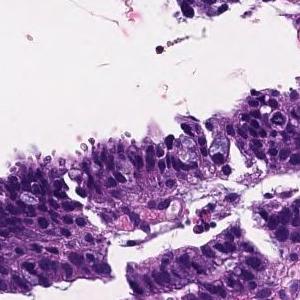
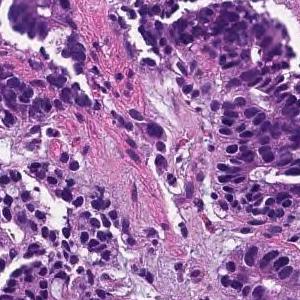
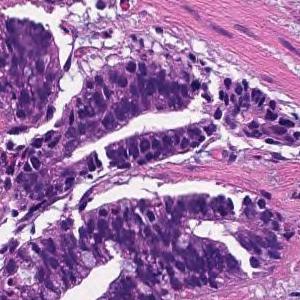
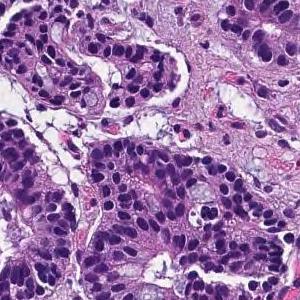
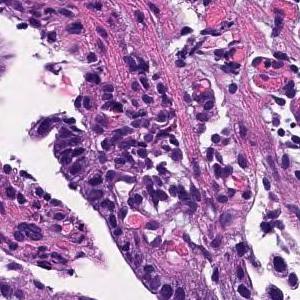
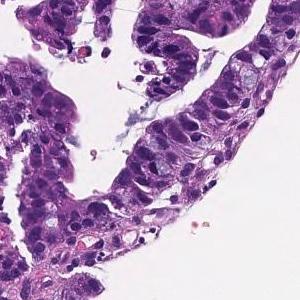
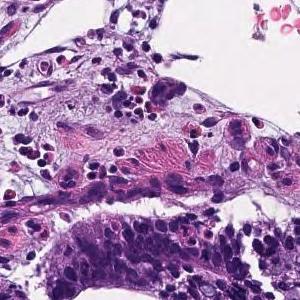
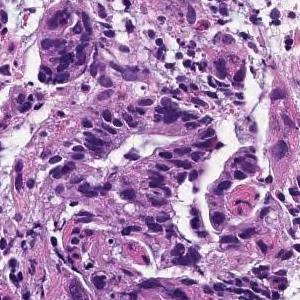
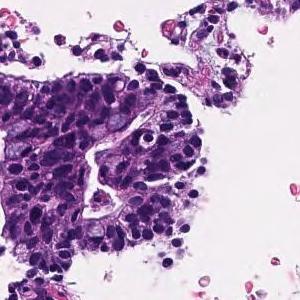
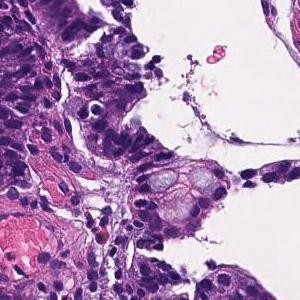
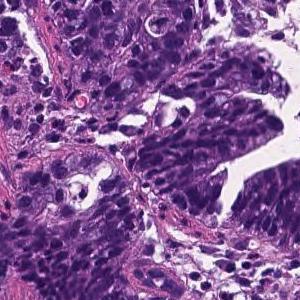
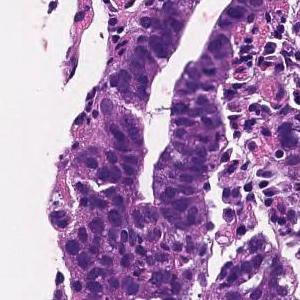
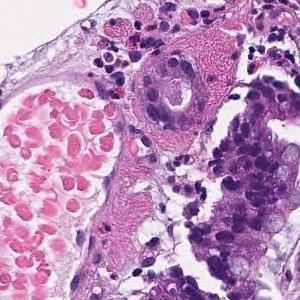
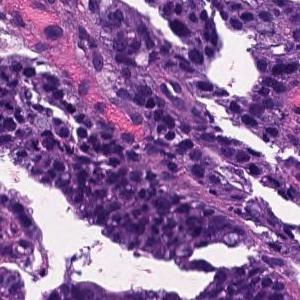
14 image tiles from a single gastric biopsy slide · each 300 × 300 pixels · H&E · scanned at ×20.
The pathologist's report on the biopsy slide these tiles were taken from. The report and the diagnosis describe the slide as a whole, so these tiles may not show every feature named and may include non-tumor tissue.
Tumor cells are large, highly columnar, large club-shaped nuclei, and are associated with chromatin aggregation. Papillary adenocarcinoma.
